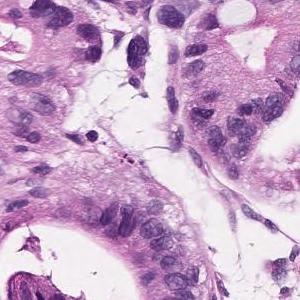
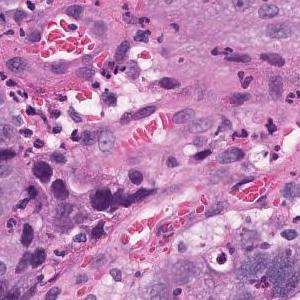
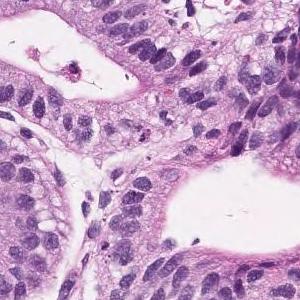
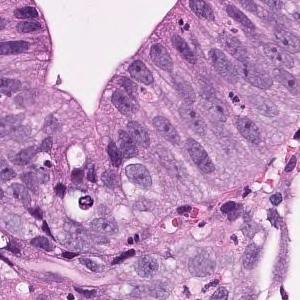
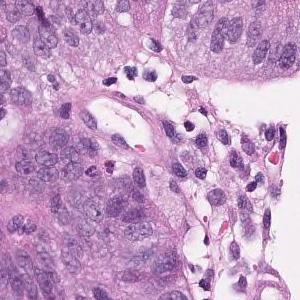
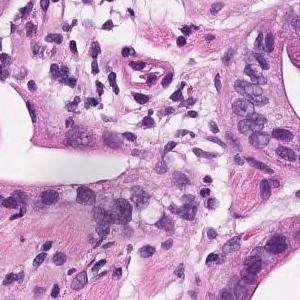
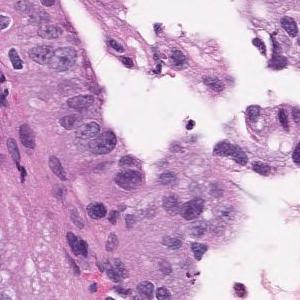
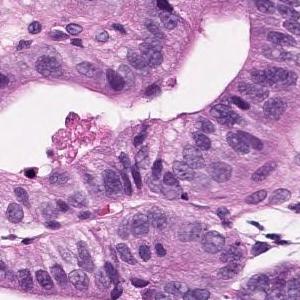
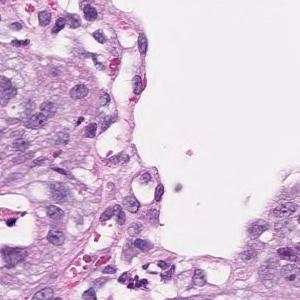
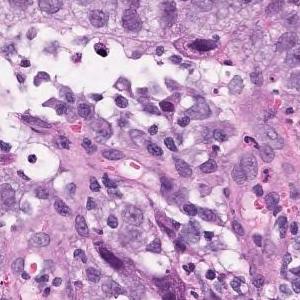
10 patches cut from one gastric biopsy slide · 300 × 300 pixels each · H&E.
The pathologist's report on the biopsy slide these tiles were taken from. The report and the diagnosis cover the entire slide, so not every feature they name need be visible here, and some tissue shown may not be tumor.
On the superficial epithelium, tumor tissue consisting of medium to small irregular tubules partially fused and proliferated is observed. Well differentiated tubular adenocarcinoma
